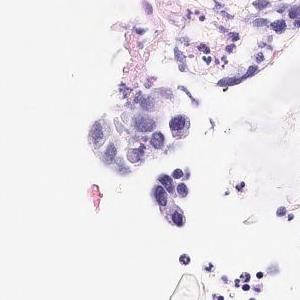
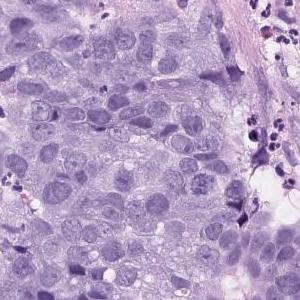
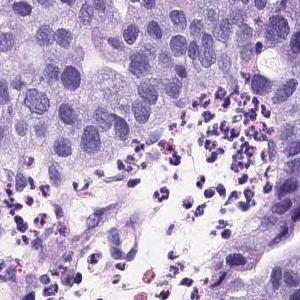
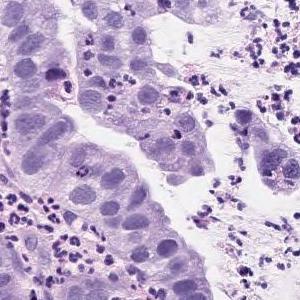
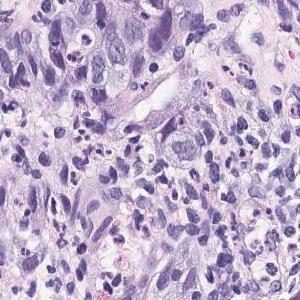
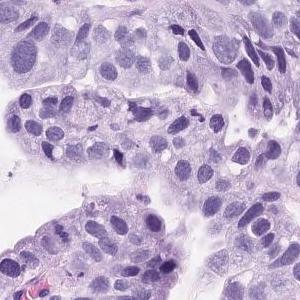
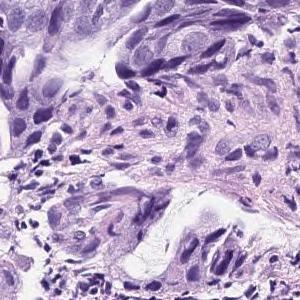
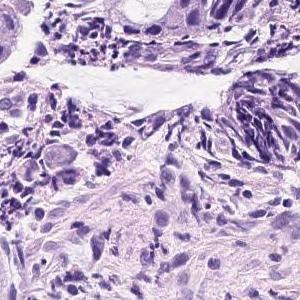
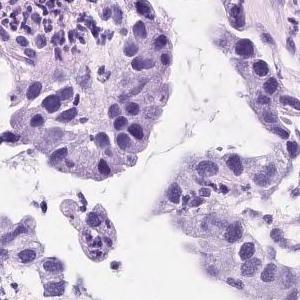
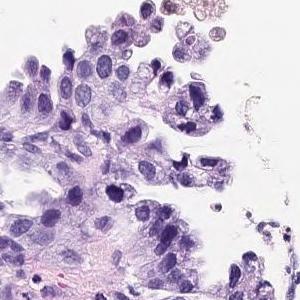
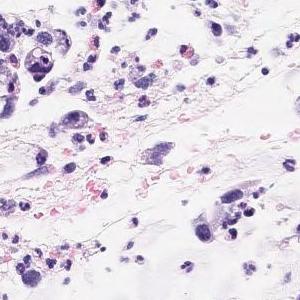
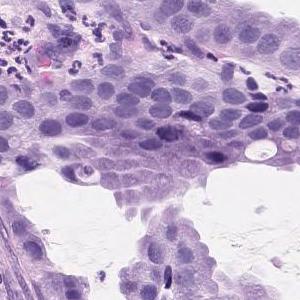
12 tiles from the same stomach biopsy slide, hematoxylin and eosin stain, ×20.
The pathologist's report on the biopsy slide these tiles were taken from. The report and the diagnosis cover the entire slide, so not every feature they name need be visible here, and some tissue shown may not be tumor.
Atypical l cells with atypical nuclei forming solid or diffuse vesicles or small irregular atypical ducts and growing in a complex manner. Well differentiated tubular adenocarcinoma
